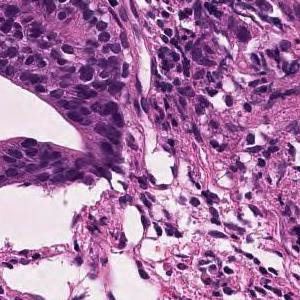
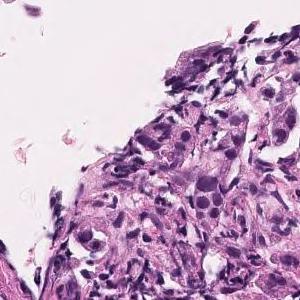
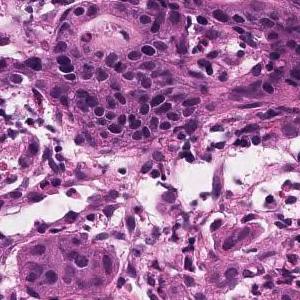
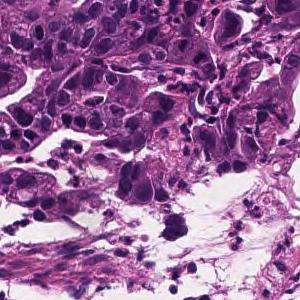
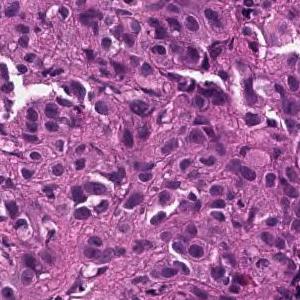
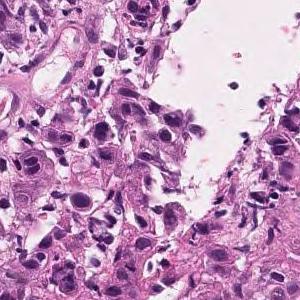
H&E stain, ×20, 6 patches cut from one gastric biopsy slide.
The pathologist's report on the biopsy slide these tiles were taken from. The report and the diagnosis cover the entire slide, so not every feature they name need be visible here, and some tissue shown may not be tumor.
Tumor tissue consisting of medium-sized, cord-like or irregular glandular infiltration is observed in the superficial epithelium. Poorly differentiated adenocarcinoma, non-solid type or moderately differentiated tubular adenocarcinoma
The non-solid type named here is a Japanese Classification of Gastric Carcinoma category.
